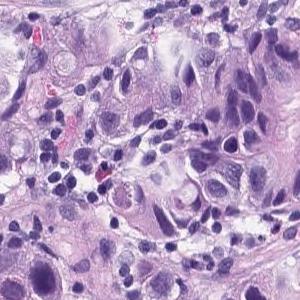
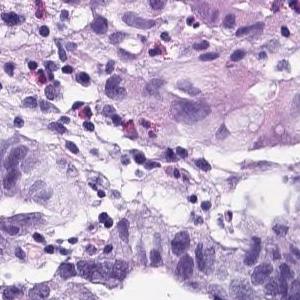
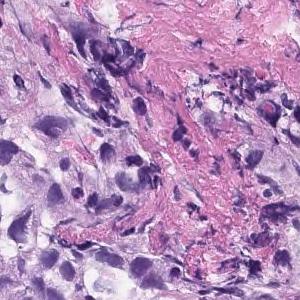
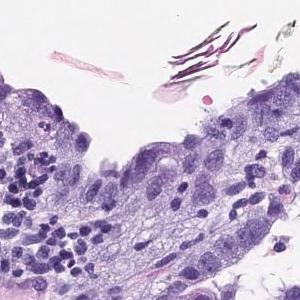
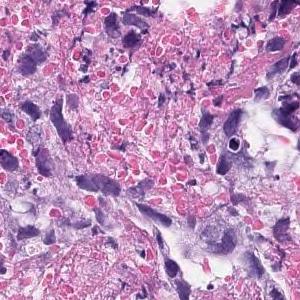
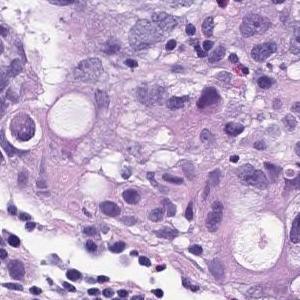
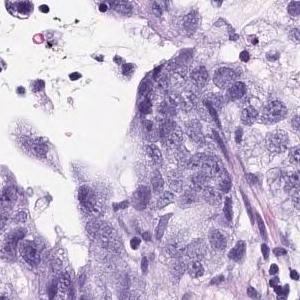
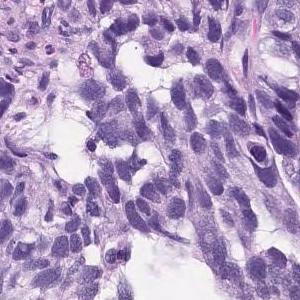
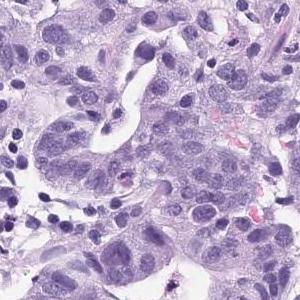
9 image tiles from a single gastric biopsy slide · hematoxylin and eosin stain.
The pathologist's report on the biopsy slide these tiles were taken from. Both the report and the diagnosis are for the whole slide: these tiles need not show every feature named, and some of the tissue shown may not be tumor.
In the superficial epithelium, tumor tissue that invades by forming medium-sized to small, irregular ducts is observed. Moderately differentiated adenocarcinoma.
Tumor subtype: moderately differentiated tubular adenocarcinoma.
